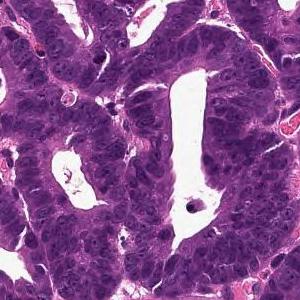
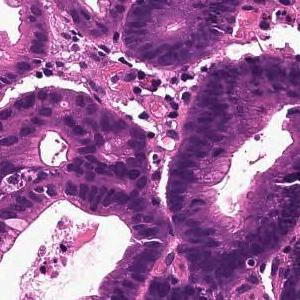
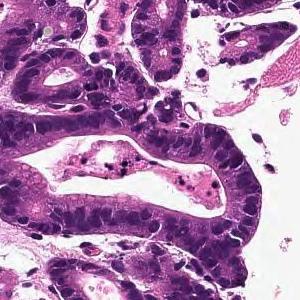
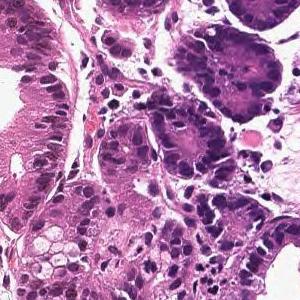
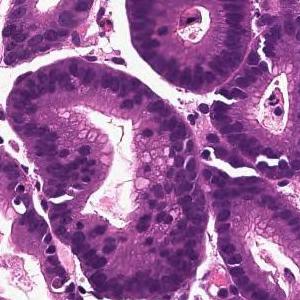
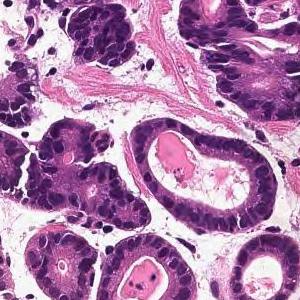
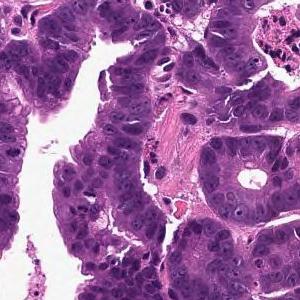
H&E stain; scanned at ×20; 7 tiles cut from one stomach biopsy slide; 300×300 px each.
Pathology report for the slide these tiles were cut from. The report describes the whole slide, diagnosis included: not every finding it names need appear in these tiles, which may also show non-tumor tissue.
From the superficial epithelium to the muscularis mucosae, tumor tissue consisting of medium-sized and irregular glandular ducts infiltrating is observed. Well differentiated tubular adenocarcinoma
